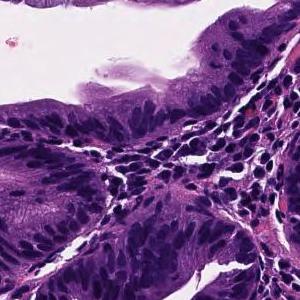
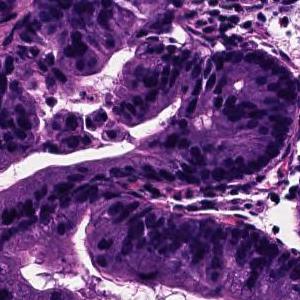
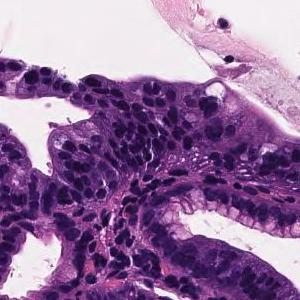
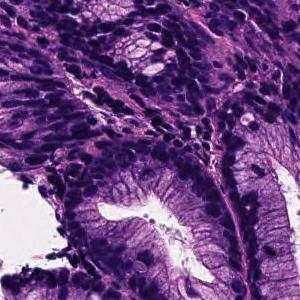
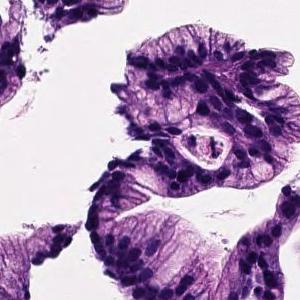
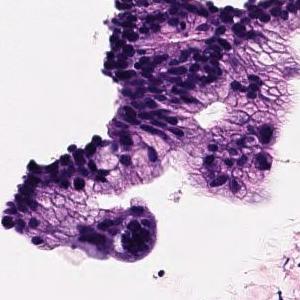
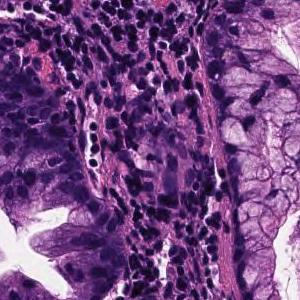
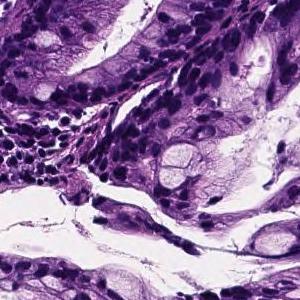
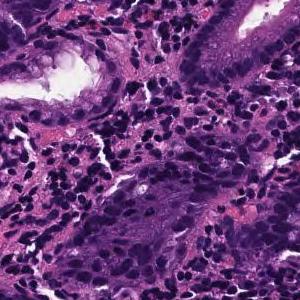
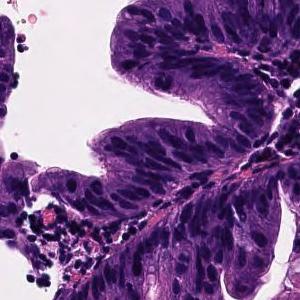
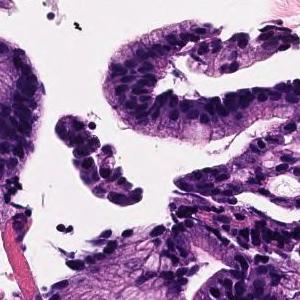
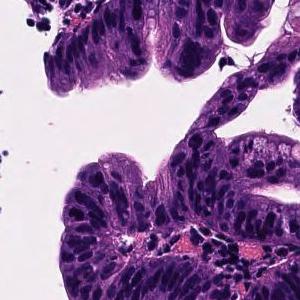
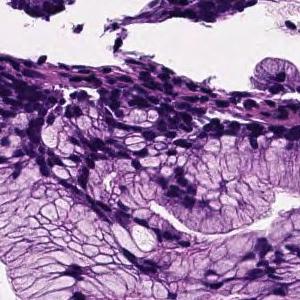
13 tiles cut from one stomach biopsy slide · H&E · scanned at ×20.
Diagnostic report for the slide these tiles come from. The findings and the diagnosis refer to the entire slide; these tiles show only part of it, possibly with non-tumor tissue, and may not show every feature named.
On the superficial epithelium, tumor tissue that infiltrates by forming medium-sized papillary or small irregular ducts is observed. Papillary adenocarcinoma
